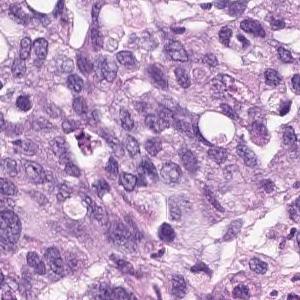
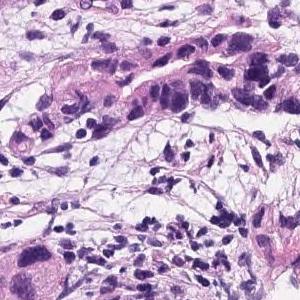
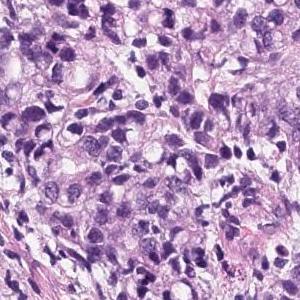
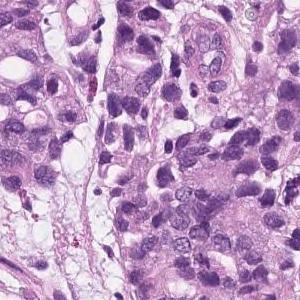
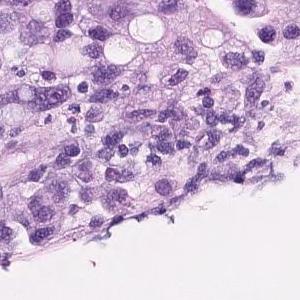
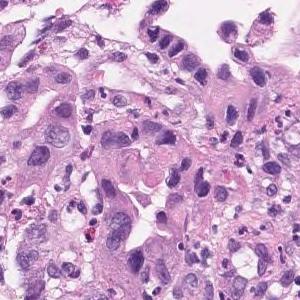
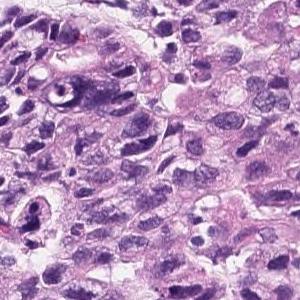
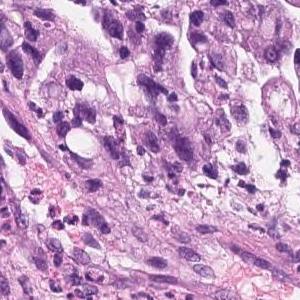
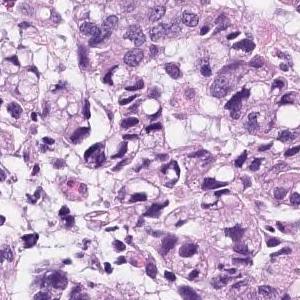
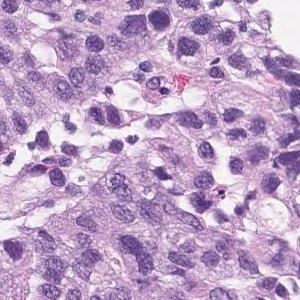
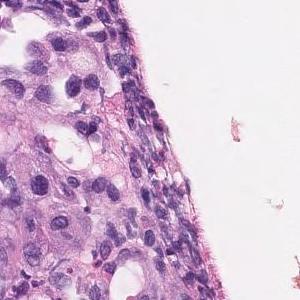
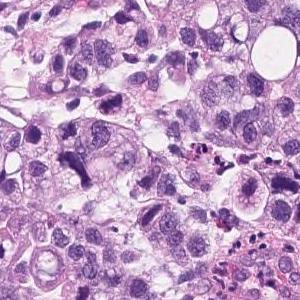
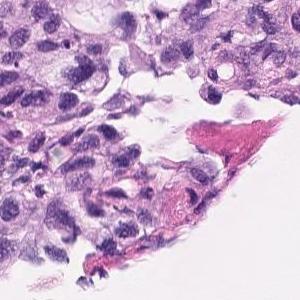
13 patches cut from one gastric biopsy slide, 300×300 px each, H&E stain.
The pathologist's report on the biopsy slide these tiles were taken from. The report and the diagnosis describe the slide as a whole, so these tiles may not show every feature named and may include non-tumor tissue.
Group 5, Adenocarcinoma. Poorly differentiated adenocarcinoma, non-solid type
The non-solid type named here is a Japanese Classification of Gastric Carcinoma category.
